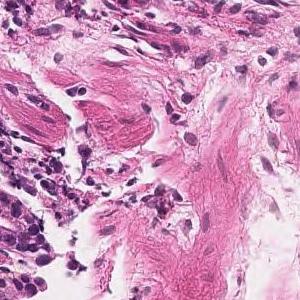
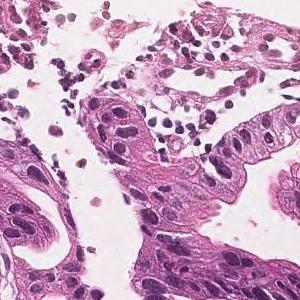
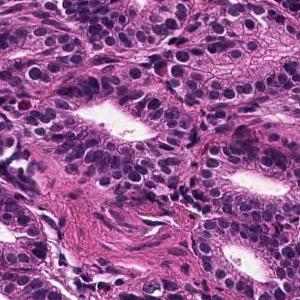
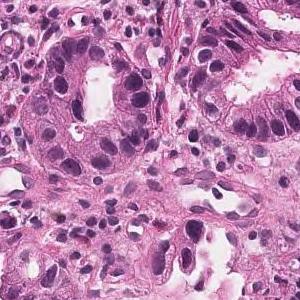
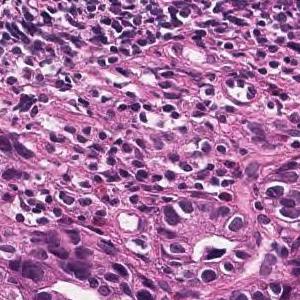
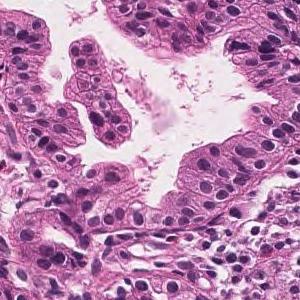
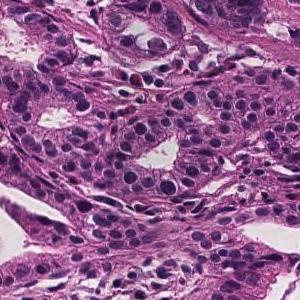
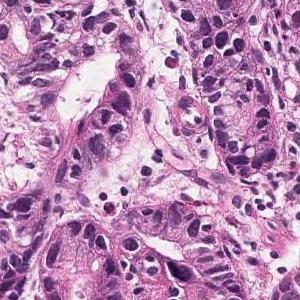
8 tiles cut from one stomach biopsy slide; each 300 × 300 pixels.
Pathology report for the slide these tiles were cut from. What the report and the diagnosis say applies to the whole slide; these tiles may miss some of the features named and may include tissue that is not tumor.
Tumor tissue consisting of medium-sized and irregular ducts is observed infiltrating in the superficial epithelium. Tumor cells are highly columnar, with nuclei aligned basolaterally and polarized. Well differentiated tubular adenocarcinoma.
